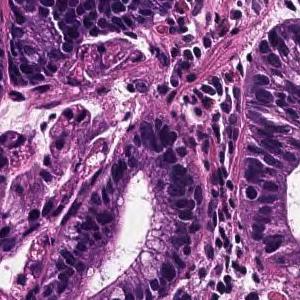
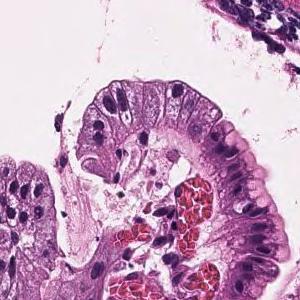
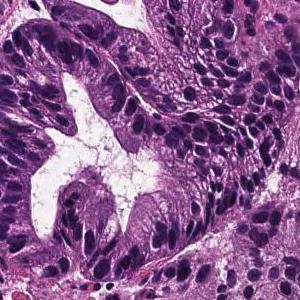
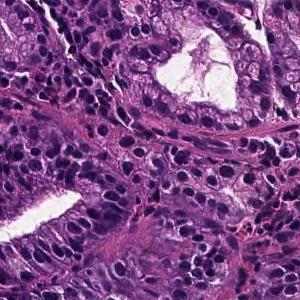
4 tiles from the same stomach biopsy slide · 300 × 300 pixels each · scanned at ×20 · hematoxylin and eosin stain.
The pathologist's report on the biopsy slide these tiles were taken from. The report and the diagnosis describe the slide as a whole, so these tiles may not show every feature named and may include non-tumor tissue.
On the superficial epithelium, tumor tissue that infiltrates by forming medium-sized papillary or small irregular ducts is observed. Papillary adenocarcinoma
